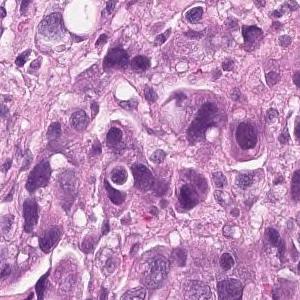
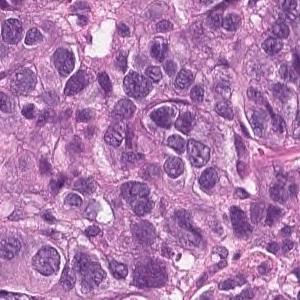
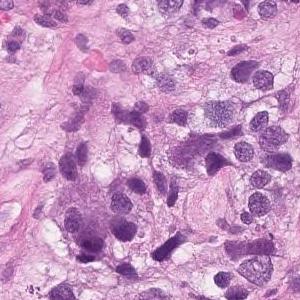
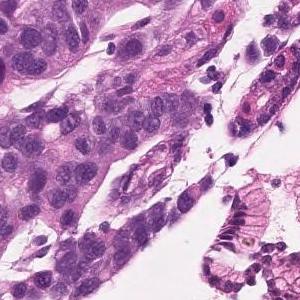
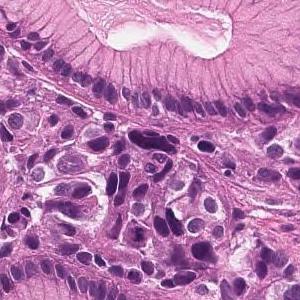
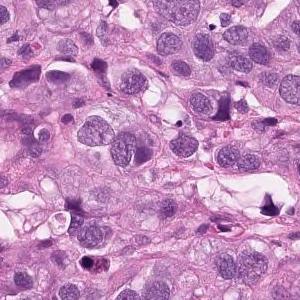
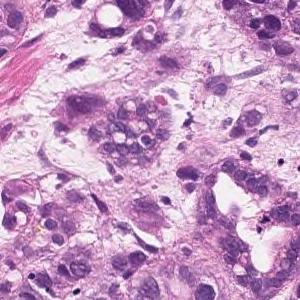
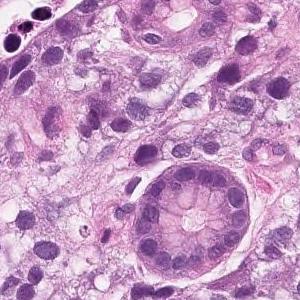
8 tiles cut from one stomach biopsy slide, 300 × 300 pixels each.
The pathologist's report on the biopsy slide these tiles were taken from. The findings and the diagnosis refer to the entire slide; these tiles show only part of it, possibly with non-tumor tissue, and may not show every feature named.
Tumor tissue that infiltrates the epithelium in an alveolar manner. Poorly differentiated adenocarcinoma, solid-type
Tumor subtype: poorly differentiated adenocarcinoma, solid type (Japanese Classification of Gastric Carcinoma). The WHO 2019 equivalent is tubular adenocarcinoma, poorly differentiated.
